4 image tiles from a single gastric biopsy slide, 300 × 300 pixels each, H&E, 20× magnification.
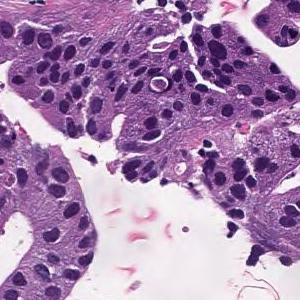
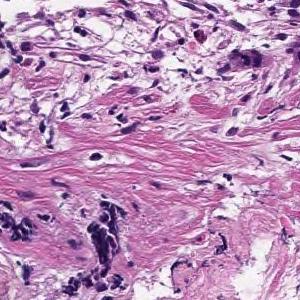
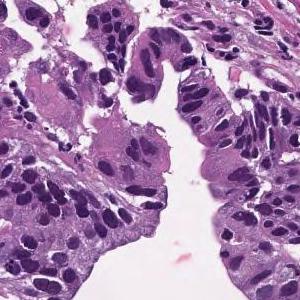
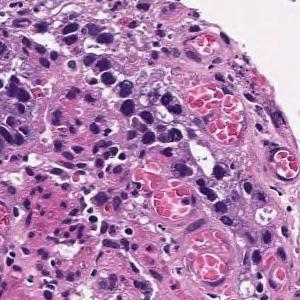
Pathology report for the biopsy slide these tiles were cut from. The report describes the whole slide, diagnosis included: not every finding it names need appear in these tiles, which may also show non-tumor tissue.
Tumor cells are large, highly columnar, large club-shaped nuclei, and are associated with chromatin aggregation. Papillary adenocarcinoma.
